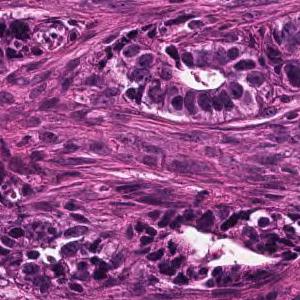
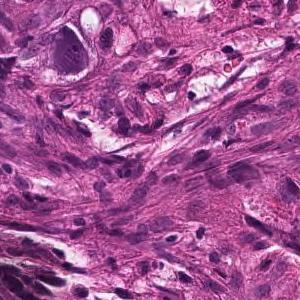
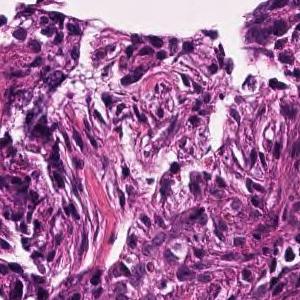
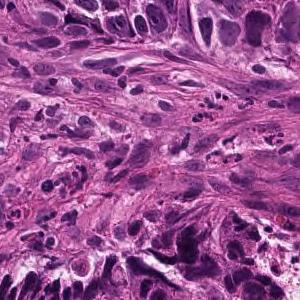
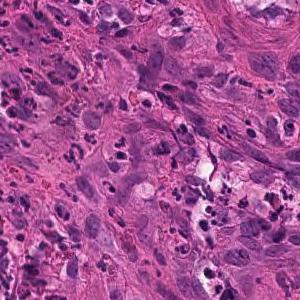
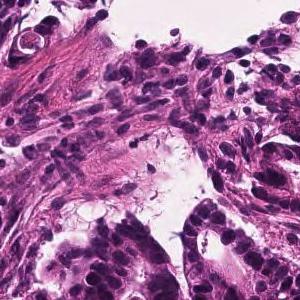
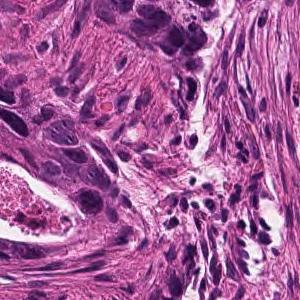
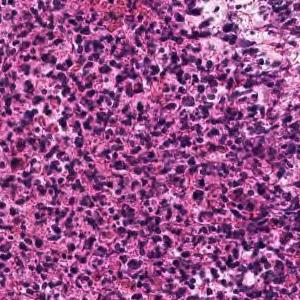
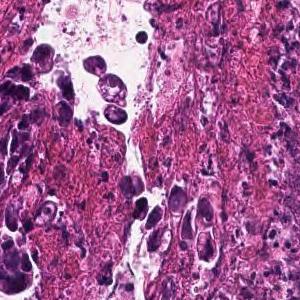
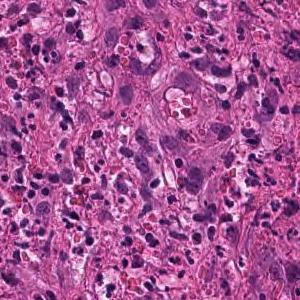
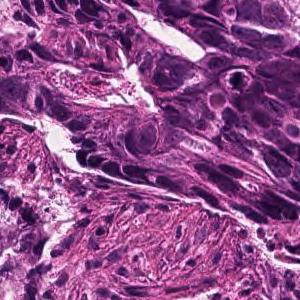
11 patches cut from one gastric biopsy slide · 300×300 px each · ×20.
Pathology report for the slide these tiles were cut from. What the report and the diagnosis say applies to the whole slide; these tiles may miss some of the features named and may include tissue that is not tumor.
In the superficial epithelium, tumor tissue that invades by forming medium-sized to small, irregular ducts is observed. moderately differentiated tubular adenocarcinoma.
